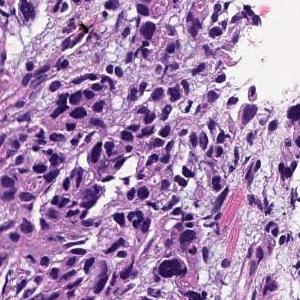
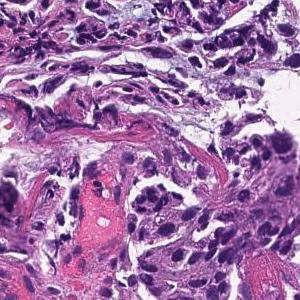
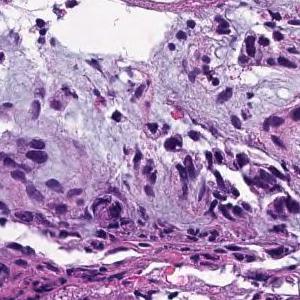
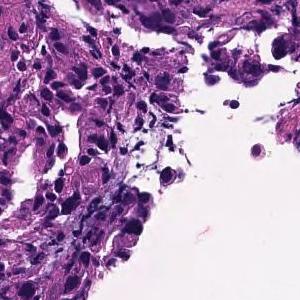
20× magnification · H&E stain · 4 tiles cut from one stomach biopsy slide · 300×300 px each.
Pathology report for the biopsy slide these tiles were cut from. What the report and the diagnosis say applies to the whole slide; these tiles may miss some of the features named and may include tissue that is not tumor.
Tumor tissue consisting of cord-like or small, irregular glandular ducts fused and infiltrated is observed in the superficial epithelium. Poorly differentiated adenocarcinoma, non-solid type
The non-solid type named here is a Japanese Classification of Gastric Carcinoma category.
